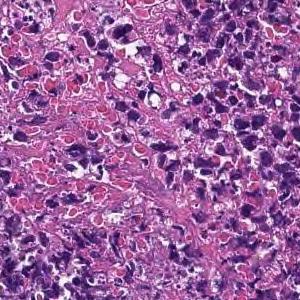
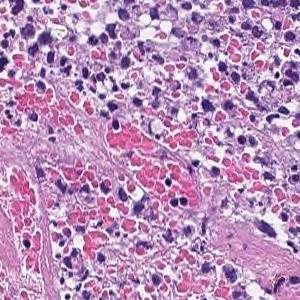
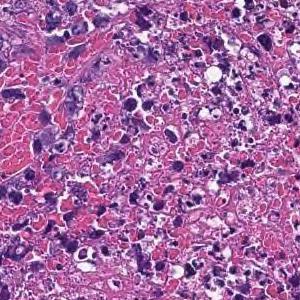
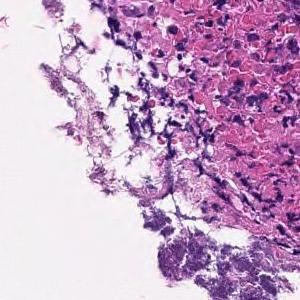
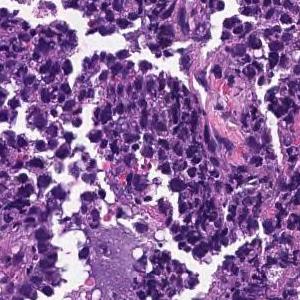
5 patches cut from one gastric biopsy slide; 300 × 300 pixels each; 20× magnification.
Report on the slide these tiles come from. What the report and the diagnosis say applies to the whole slide; these tiles may miss some of the features named and may include tissue that is not tumor.
Most are composed of coagulative necrotic tissue, but some show a large sheet-like shape, and some show tumor tissue infiltrating with a small cord-like structure. Poorly differentiated adenocarcinoma, solid-type
Subtype: Poorly differentiated adenocarcinoma, solid type (Japanese Classification of Gastric Carcinoma). The WHO 2019 equivalent is tubular adenocarcinoma, poorly differentiated.
